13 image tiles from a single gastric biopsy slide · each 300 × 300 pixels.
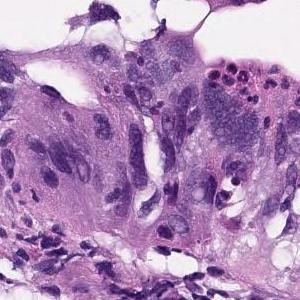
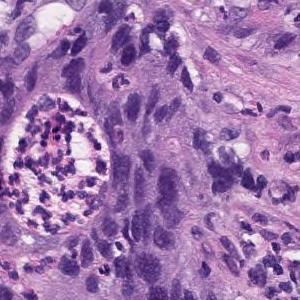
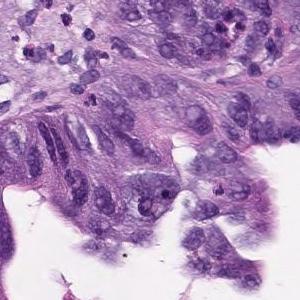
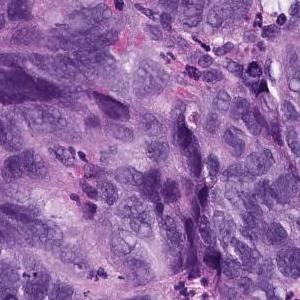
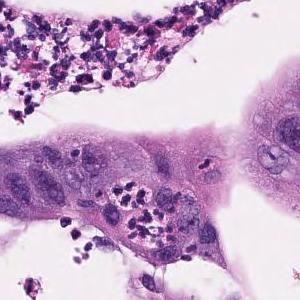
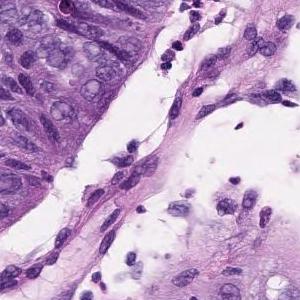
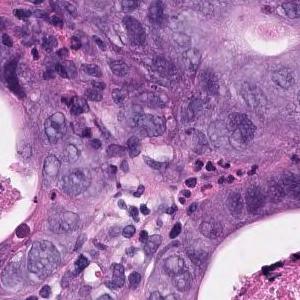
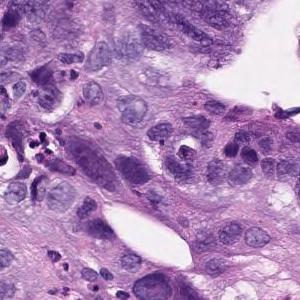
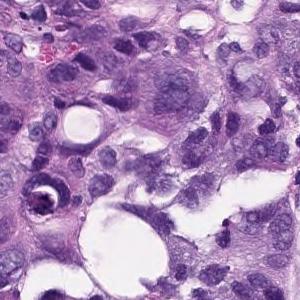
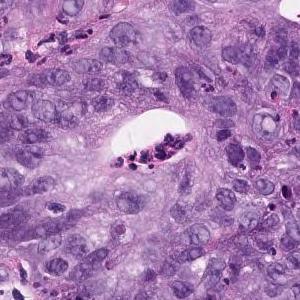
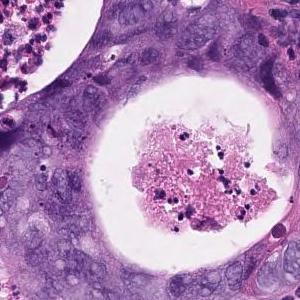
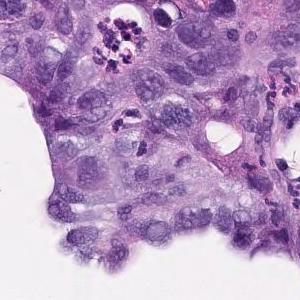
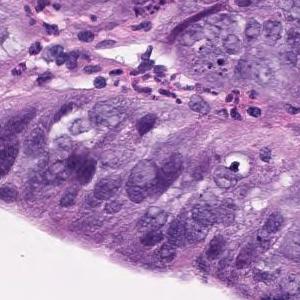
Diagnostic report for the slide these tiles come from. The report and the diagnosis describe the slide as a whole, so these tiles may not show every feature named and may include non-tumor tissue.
In the superficial epithelium, tumor tissue that invades by forming medium-sized to small, irregular ducts is observed. Moderately differentiated adenocarcinoma.
Subtype: Moderately differentiated tubular adenocarcinoma.
